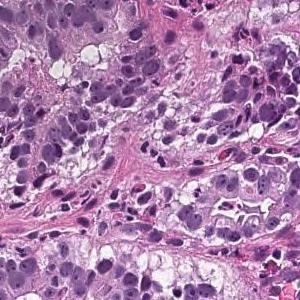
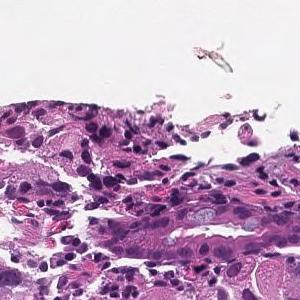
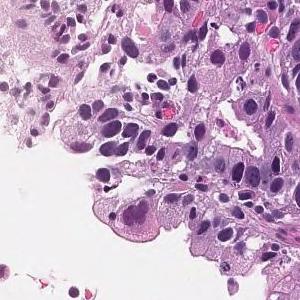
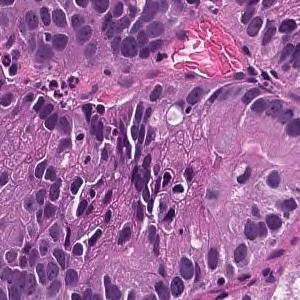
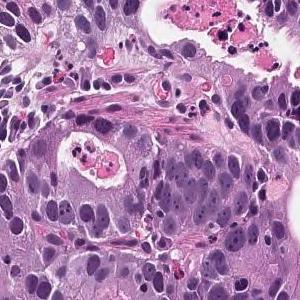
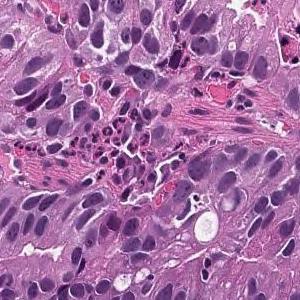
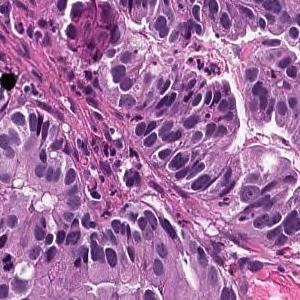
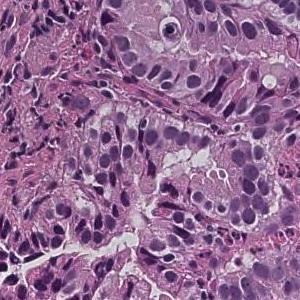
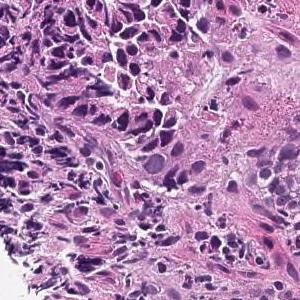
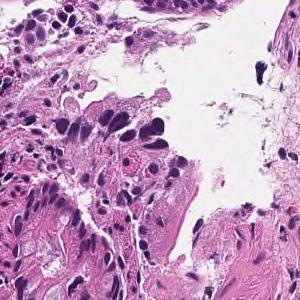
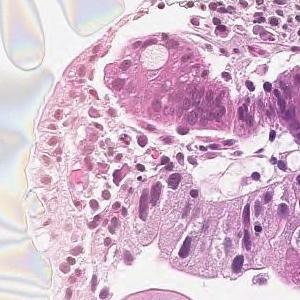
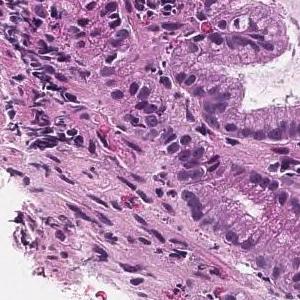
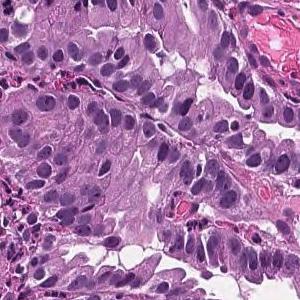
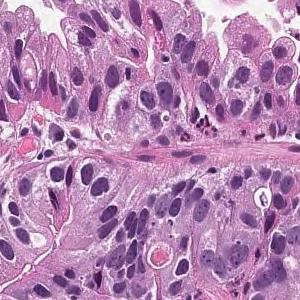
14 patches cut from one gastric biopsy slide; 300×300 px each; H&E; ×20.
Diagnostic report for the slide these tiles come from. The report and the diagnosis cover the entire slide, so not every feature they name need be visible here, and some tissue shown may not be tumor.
From the superficial epithelium to the muscularis mucosae, tumor tissue consisting of medium-sized and irregular glandular ducts infiltrating is observed. Well differentiated tubular adenocarcinoma
